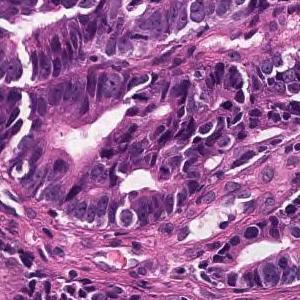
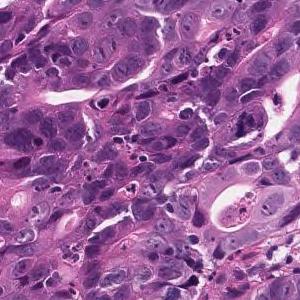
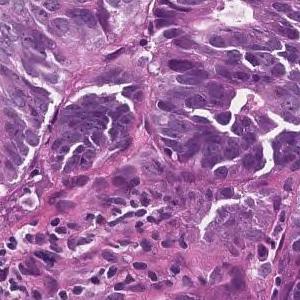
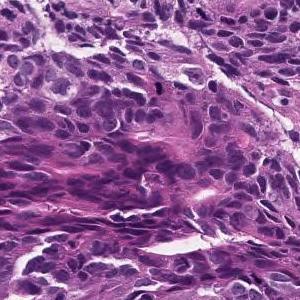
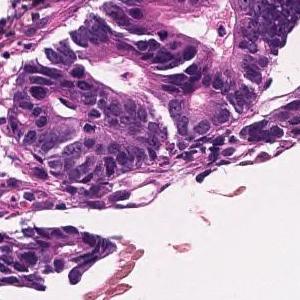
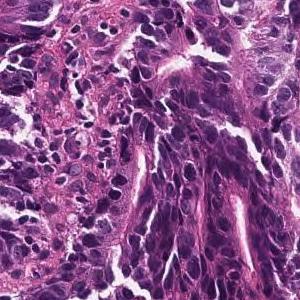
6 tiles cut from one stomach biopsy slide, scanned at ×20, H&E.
Pathology report for the slide these tiles were cut from. What the report and the diagnosis say applies to the whole slide; these tiles may miss some of the features named and may include tissue that is not tumor.
In the superficial epithelium, tumor tissue that invades by forming medium-sized to small, irregular ducts is observed. moderately differentiated tubular adenocarcinoma.
